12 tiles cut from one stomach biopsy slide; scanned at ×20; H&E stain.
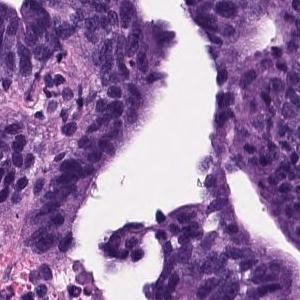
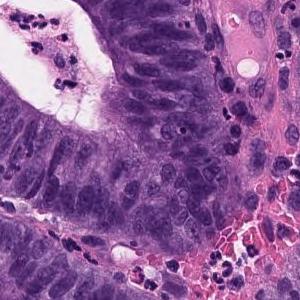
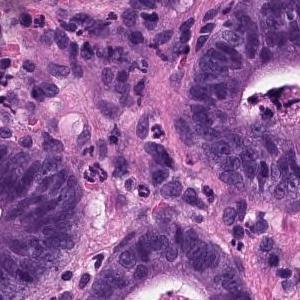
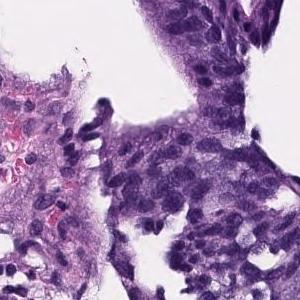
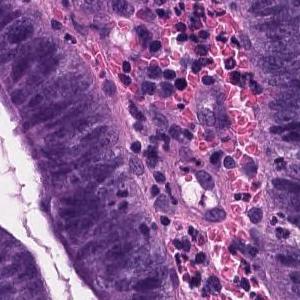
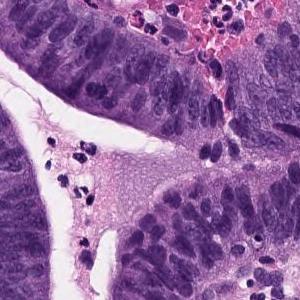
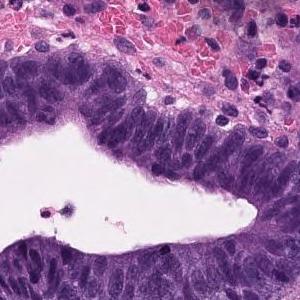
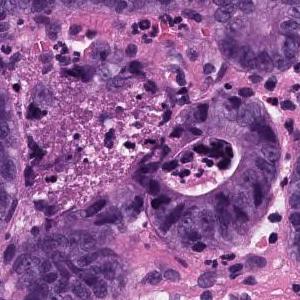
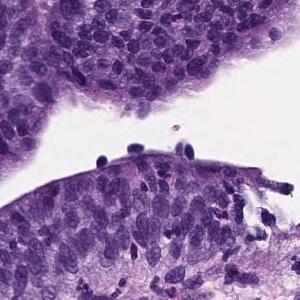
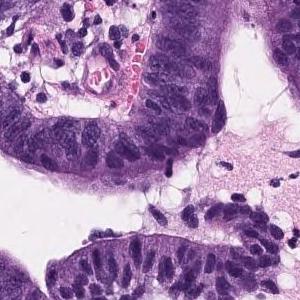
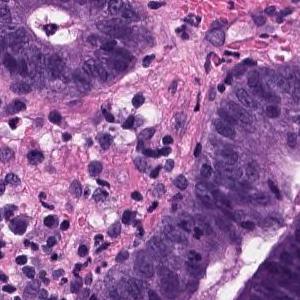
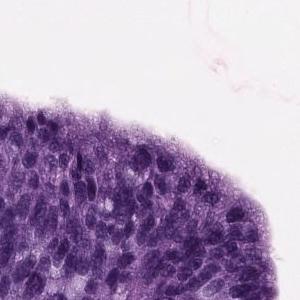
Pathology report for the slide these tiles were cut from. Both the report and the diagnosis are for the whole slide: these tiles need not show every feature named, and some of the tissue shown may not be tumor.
Papillo-tubular growth of atypical tubules with nuclear swelling is observed. Well differentiated tubular adenocarcinoma
